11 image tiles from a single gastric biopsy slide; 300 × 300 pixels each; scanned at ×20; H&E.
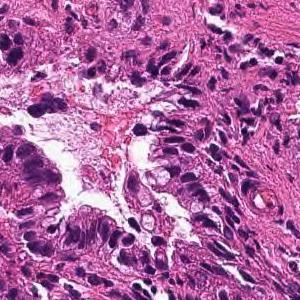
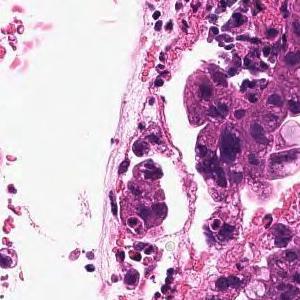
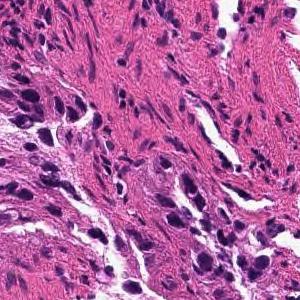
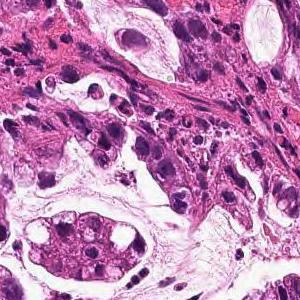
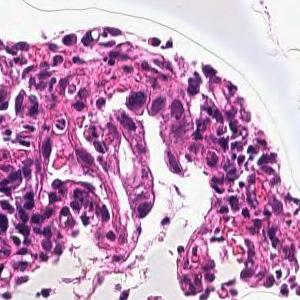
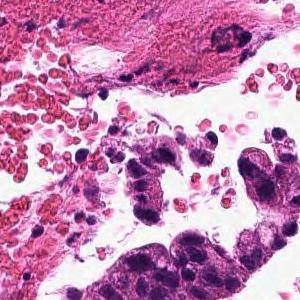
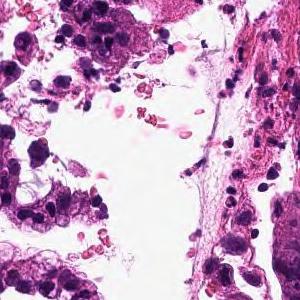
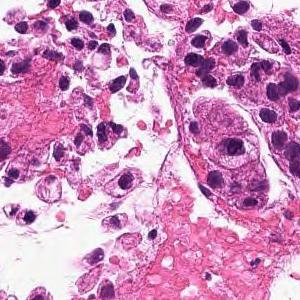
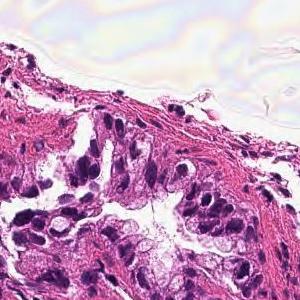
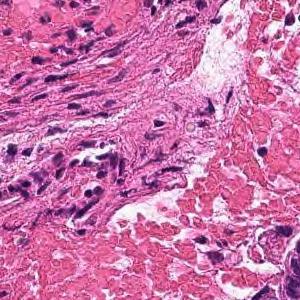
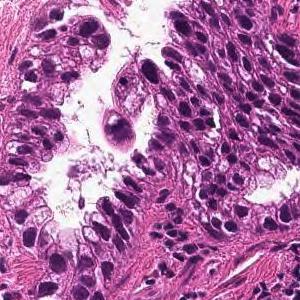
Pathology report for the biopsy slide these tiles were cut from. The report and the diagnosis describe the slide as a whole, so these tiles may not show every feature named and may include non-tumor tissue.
From the superficial epithelium to the muscularis mucosae, tumor tissue infiltrating by forming medium-sized irregular gland ducts is observed. Well differentiated tubular adenocarcinoma
